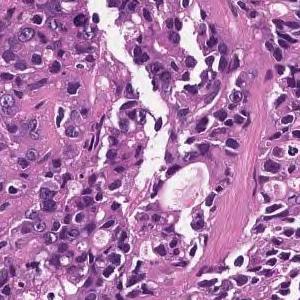
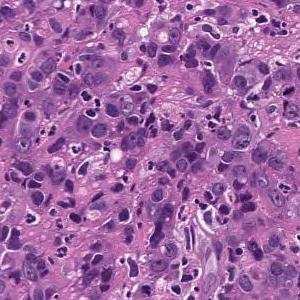
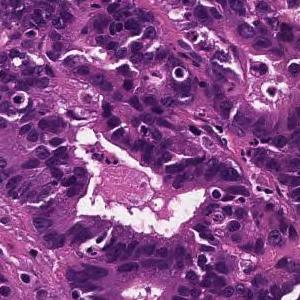
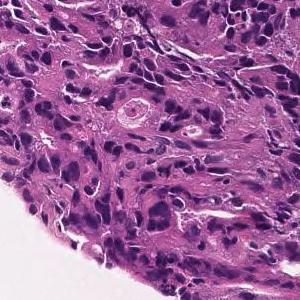
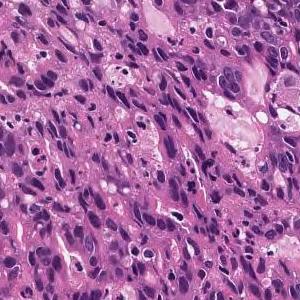
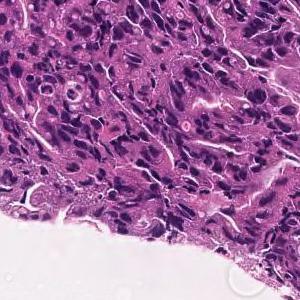
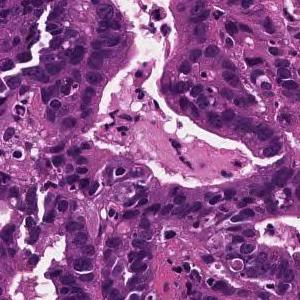
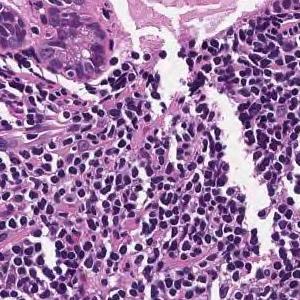
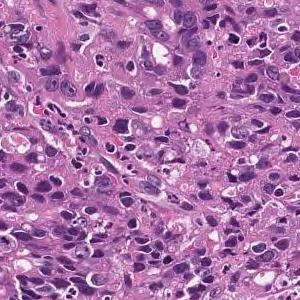
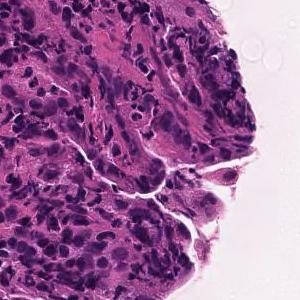
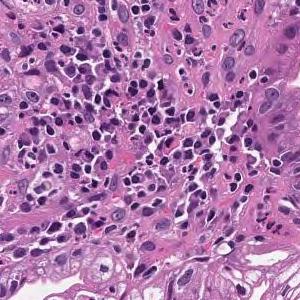
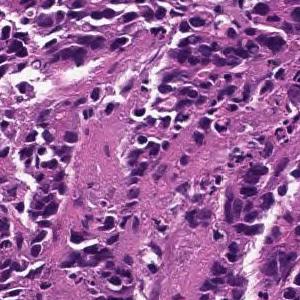
Hematoxylin and eosin stain, 20× magnification, 12 image tiles from a single gastric biopsy slide.
Diagnostic report for the slide these tiles come from. What the report and the diagnosis say applies to the whole slide; these tiles may miss some of the features named and may include tissue that is not tumor.
In the superficial epithelium, tumor tissue that invades by forming medium-sized to small, irregular ducts is observed. moderately differentiated tubular adenocarcinoma.
